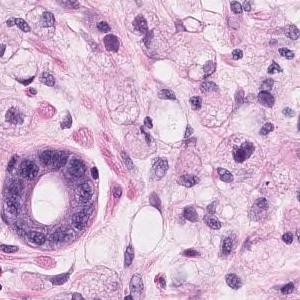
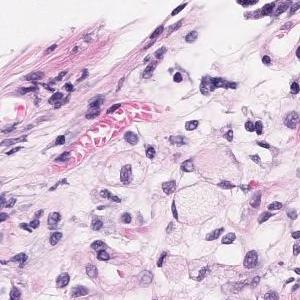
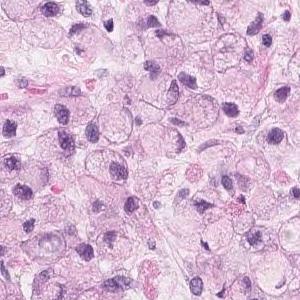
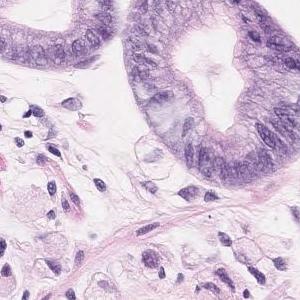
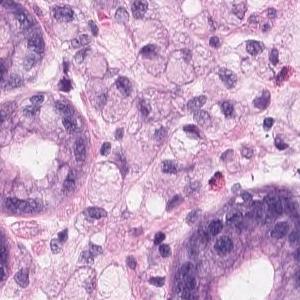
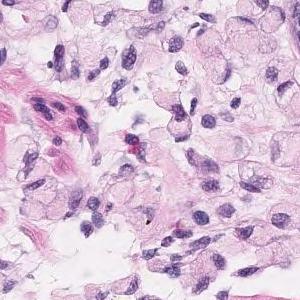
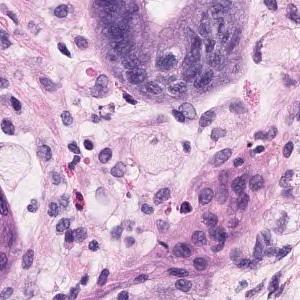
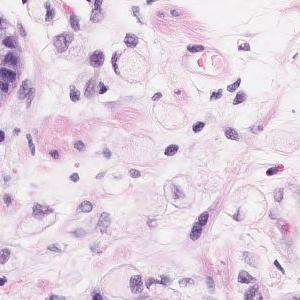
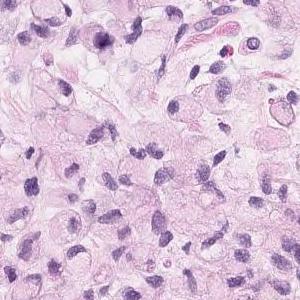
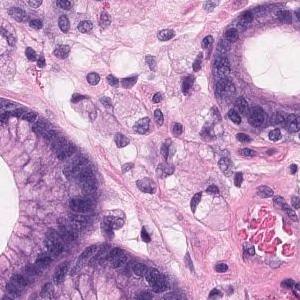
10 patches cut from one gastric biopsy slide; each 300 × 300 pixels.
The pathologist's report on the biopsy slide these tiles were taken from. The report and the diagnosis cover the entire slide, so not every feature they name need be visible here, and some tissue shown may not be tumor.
In the lamina propria, atypical epithelial cells that store mucus and lack connectivity proliferate diffusely. Adenocarcinoma. Signet ring cell carcinoma.
